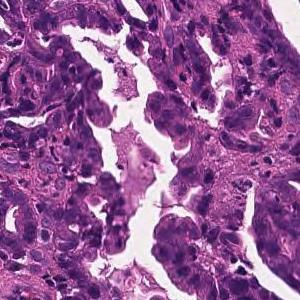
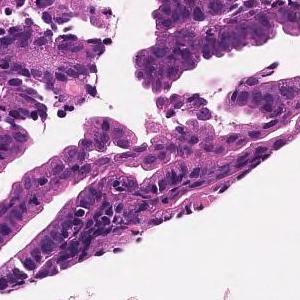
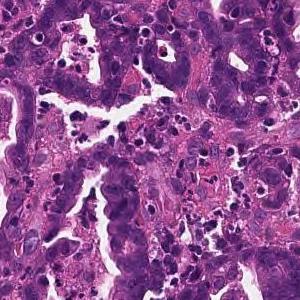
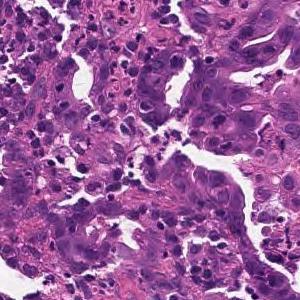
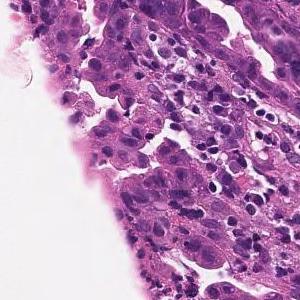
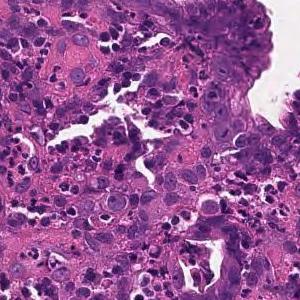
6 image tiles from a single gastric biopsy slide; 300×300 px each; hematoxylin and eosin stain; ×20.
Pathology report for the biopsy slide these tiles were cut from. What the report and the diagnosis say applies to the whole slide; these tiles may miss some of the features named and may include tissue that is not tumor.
From the superficial epithelium to the muscularis mucosae, tumor tissue consisting of medium-sized and irregular glandular ducts infiltrating is observed. Well differentiated tubular adenocarcinoma
